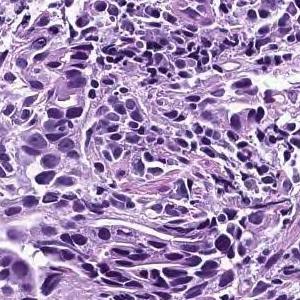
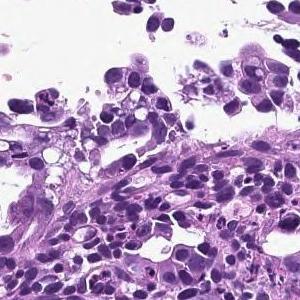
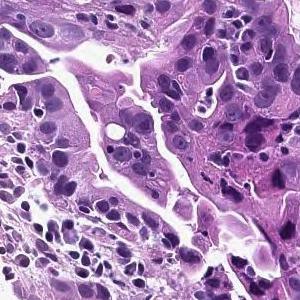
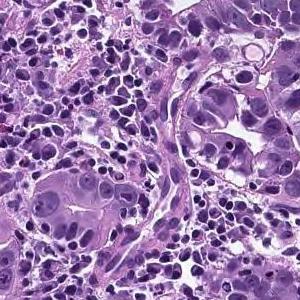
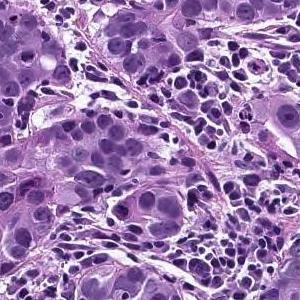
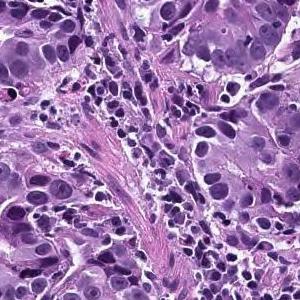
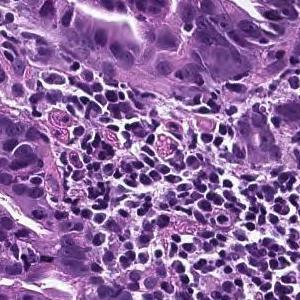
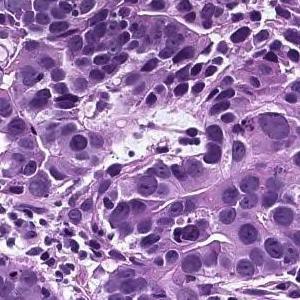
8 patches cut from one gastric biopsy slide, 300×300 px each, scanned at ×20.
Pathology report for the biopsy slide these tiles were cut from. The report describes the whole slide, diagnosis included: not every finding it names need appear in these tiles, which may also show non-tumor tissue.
In the superficial epithelium, tumor tissue that invades by forming medium-sized to small, irregular ducts is observed. moderately differentiated tubular adenocarcinoma.
